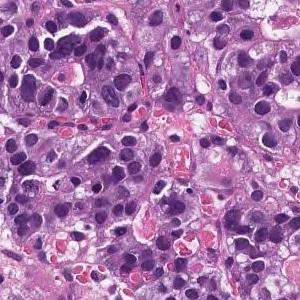
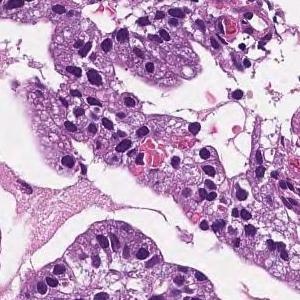
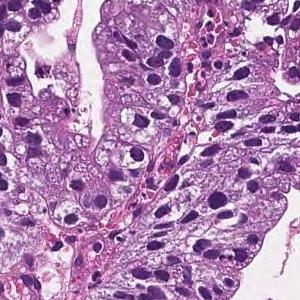
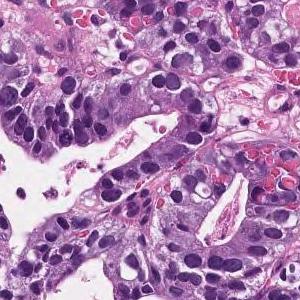
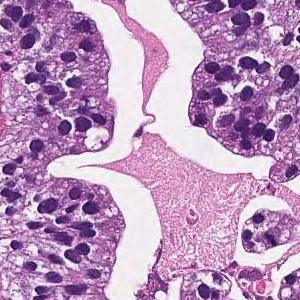
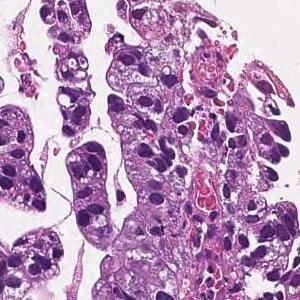
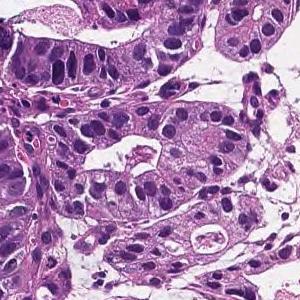
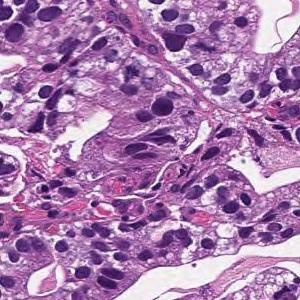
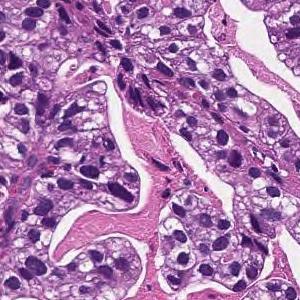
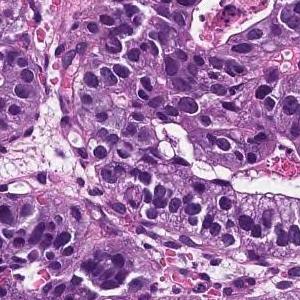
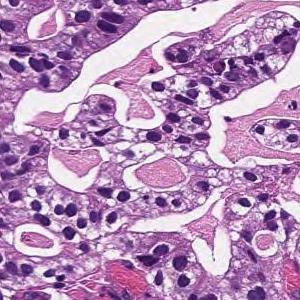
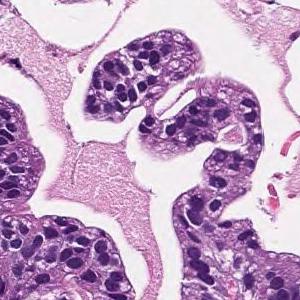
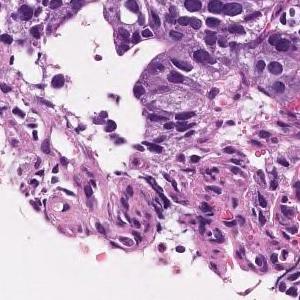
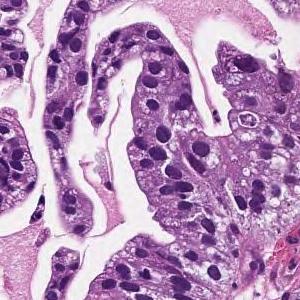
H&E stain, scanned at ×20, 14 tiles from the same stomach biopsy slide.
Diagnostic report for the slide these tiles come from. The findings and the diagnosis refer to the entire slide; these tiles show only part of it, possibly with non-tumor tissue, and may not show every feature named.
On the superficial epithelium, tumor tissue consisting of large, irregular glandular ducts partially fused and infiltrated is observed. Well to moderately differentiated tubular adenocarcinoma (well differentiated tubular adenocarcinoma, moderately differentiated tubular adenocarcinoma)
Histologic type: Well to moderately differentiated tubular adenocarcinoma.
